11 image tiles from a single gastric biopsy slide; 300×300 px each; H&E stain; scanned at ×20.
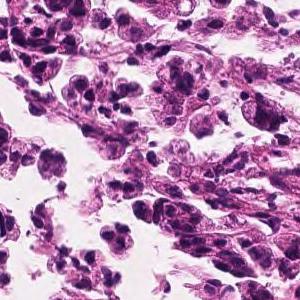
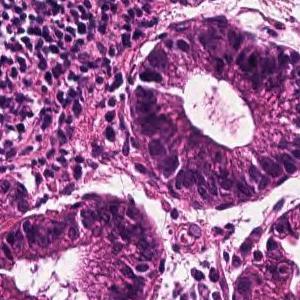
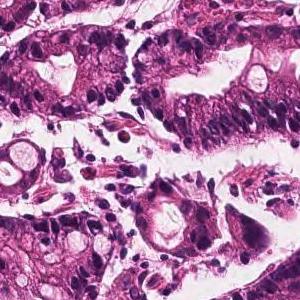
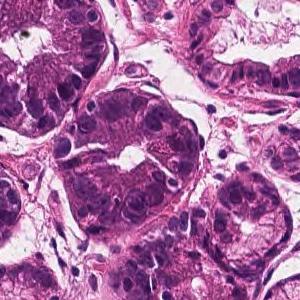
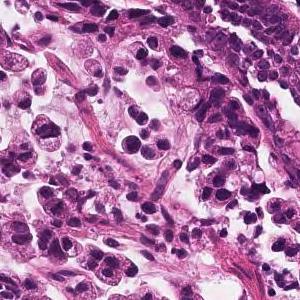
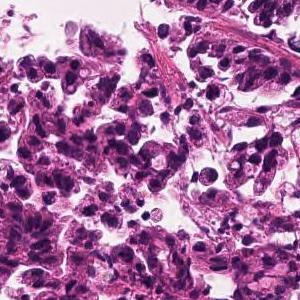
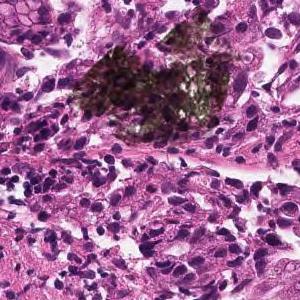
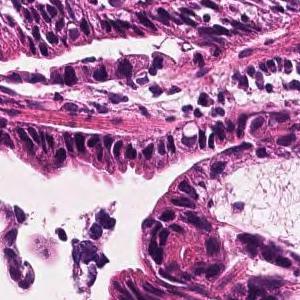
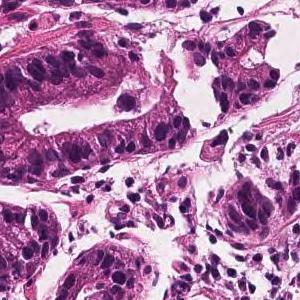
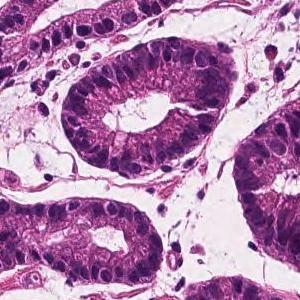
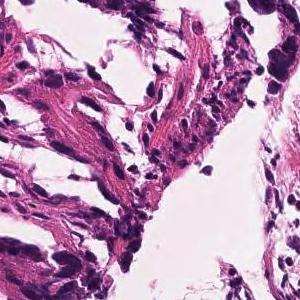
Pathology report for the slide these tiles were cut from. The report and the diagnosis cover the entire slide, so not every feature they name need be visible here, and some tissue shown may not be tumor.
In the superficial epithelium, tumor tissue that invades by forming medium-sized to small, irregular ducts is observed. moderately differentiated tubular adenocarcinoma.
